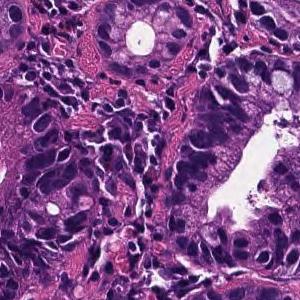
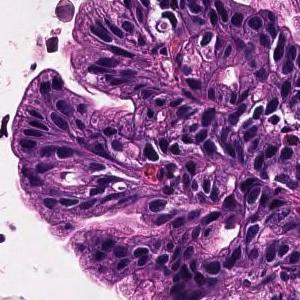
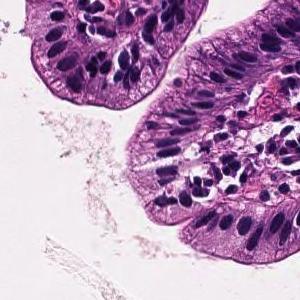
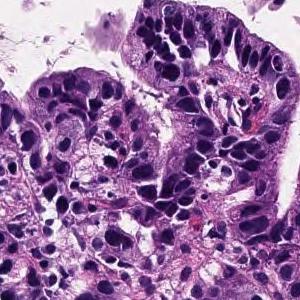
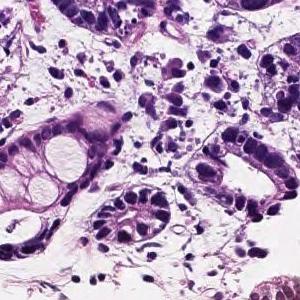
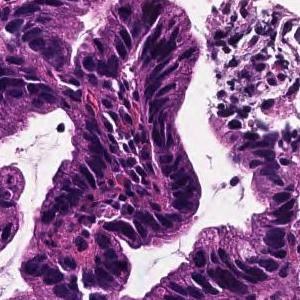
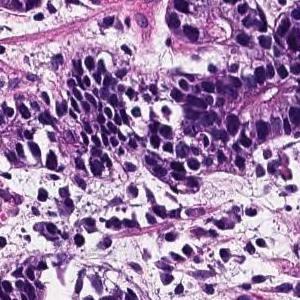
7 tiles from the same stomach biopsy slide · scanned at ×20 · H&E stain.
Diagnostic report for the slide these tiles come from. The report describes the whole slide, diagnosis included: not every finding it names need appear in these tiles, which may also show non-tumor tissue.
Tumor cells are large, highly columnar, large club-shaped nuclei, and are associated with chromatin aggregation. Papillary adenocarcinoma.
